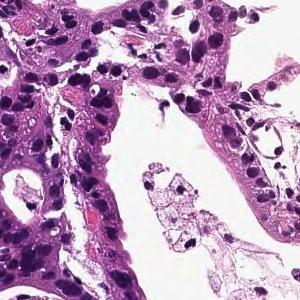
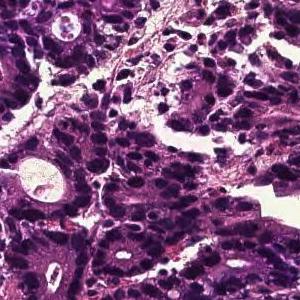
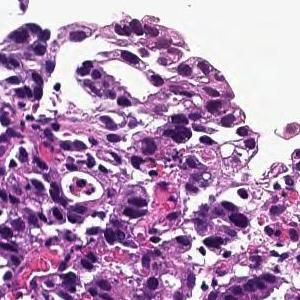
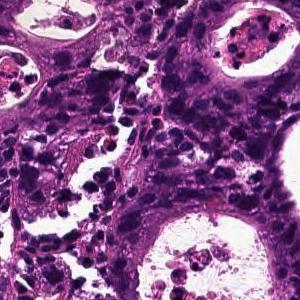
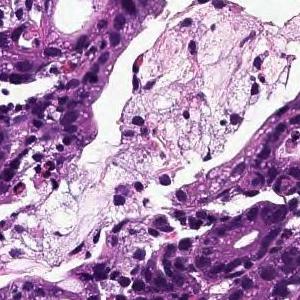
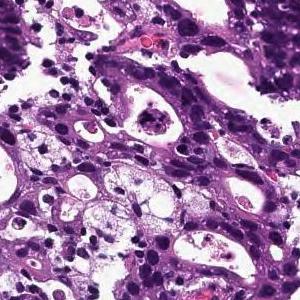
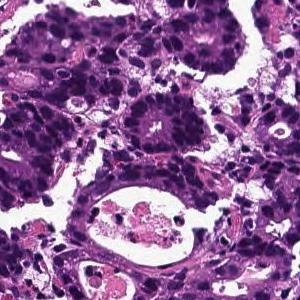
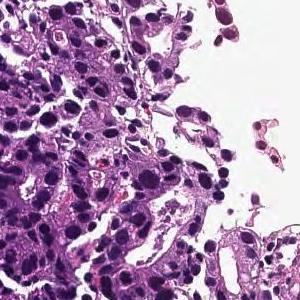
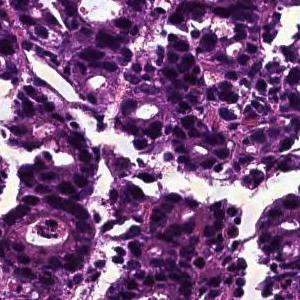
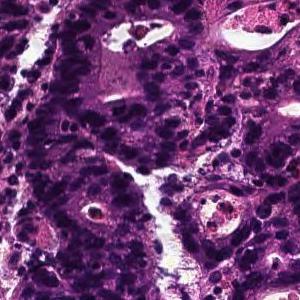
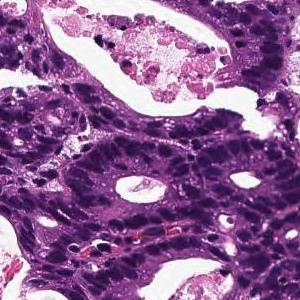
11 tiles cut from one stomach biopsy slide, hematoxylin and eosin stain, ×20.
Pathology report for the slide these tiles were cut from. Both the report and the diagnosis are for the whole slide: these tiles need not show every feature named, and some of the tissue shown may not be tumor.
In the superficial epithelium, tumor tissue that invades by forming medium-sized to small, irregular ducts is observed. moderately differentiated tubular adenocarcinoma.
